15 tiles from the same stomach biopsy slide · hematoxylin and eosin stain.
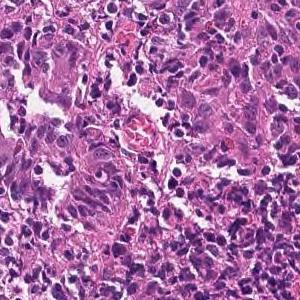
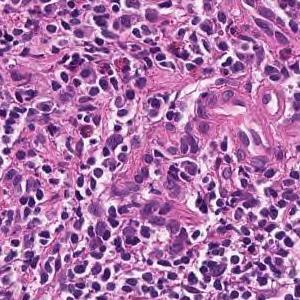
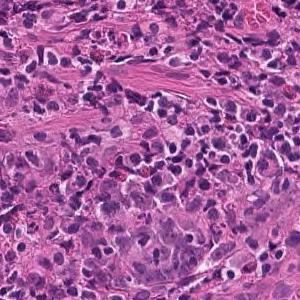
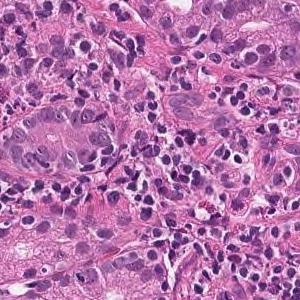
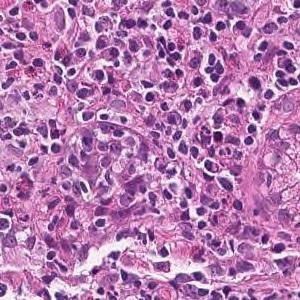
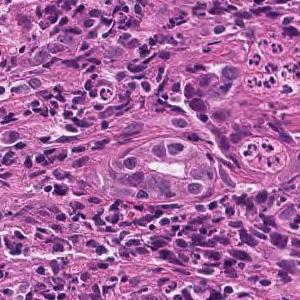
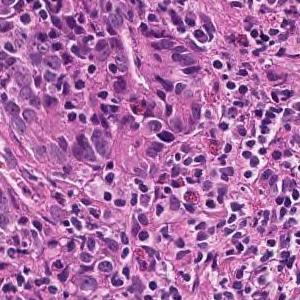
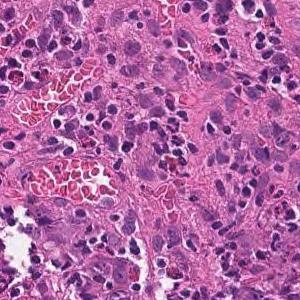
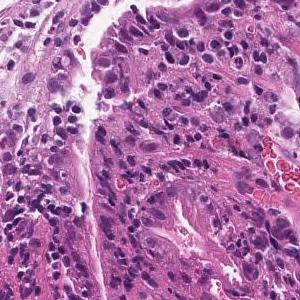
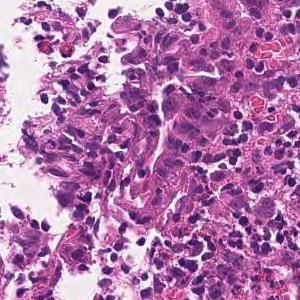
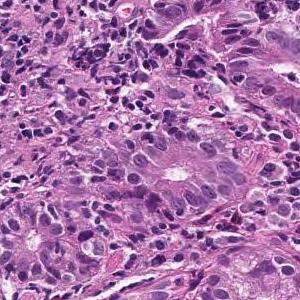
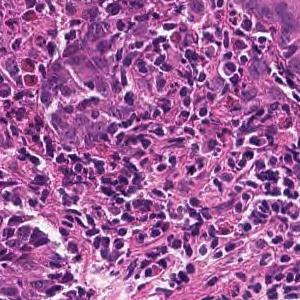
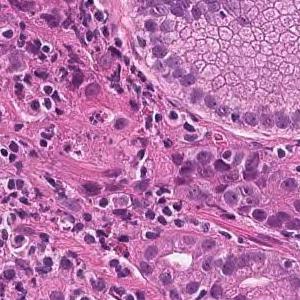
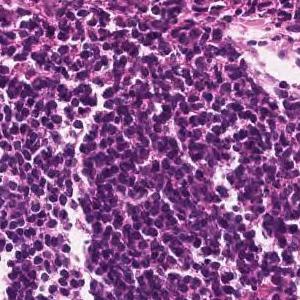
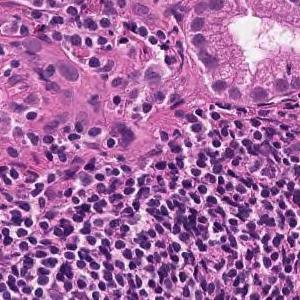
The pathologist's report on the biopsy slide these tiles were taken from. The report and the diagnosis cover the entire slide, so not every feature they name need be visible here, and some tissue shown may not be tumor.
Tumor tissue consisting of medium-sized, cord-like or irregular glandular infiltration is observed in the superficial epithelium. Poorly differentiated adenocarcinoma, non-solid type or moderately differentiated tubular adenocarcinoma
Dataset label: poorly differentiated adenocarcinoma, non-solid type.
The term "non-solid type" comes from the Japanese Classification of Gastric Carcinoma.
